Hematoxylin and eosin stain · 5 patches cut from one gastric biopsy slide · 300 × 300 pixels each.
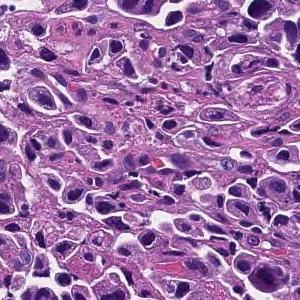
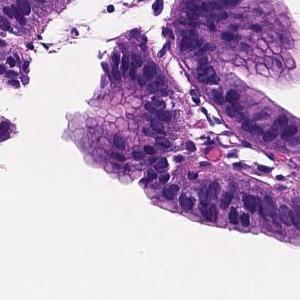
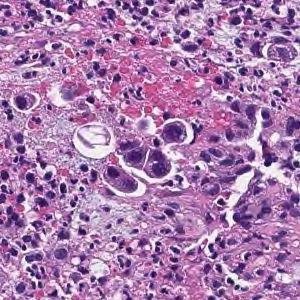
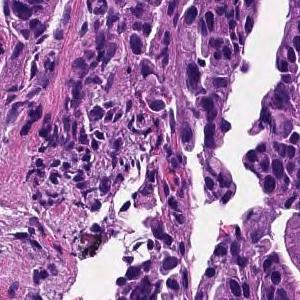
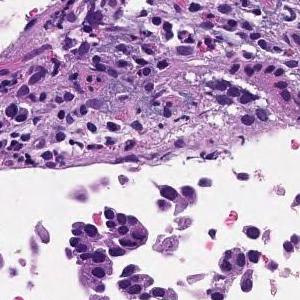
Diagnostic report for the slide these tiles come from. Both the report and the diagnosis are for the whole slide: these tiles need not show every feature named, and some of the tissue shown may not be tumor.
Tumor tissue consisting of medium-sized, cord-like or irregular glandular infiltration is observed in the superficial epithelium. Poorly differentiated adenocarcinoma, non-solid type or moderately differentiated tubular adenocarcinoma
Histological subtype: Moderately to poorly differentiated adenocarcinoma.
The term "non-solid type" comes from the Japanese Classification of Gastric Carcinoma.
